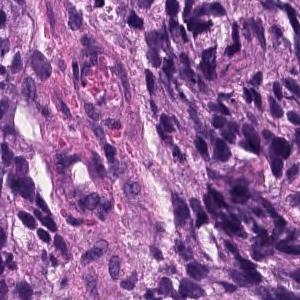
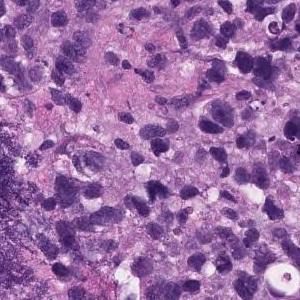
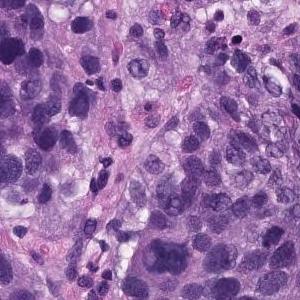
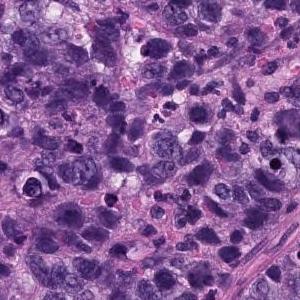
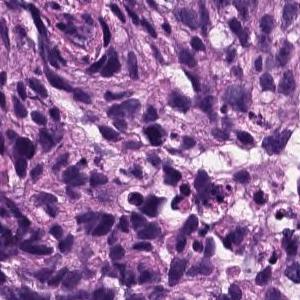
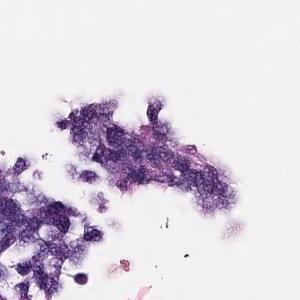
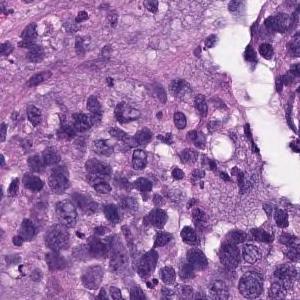
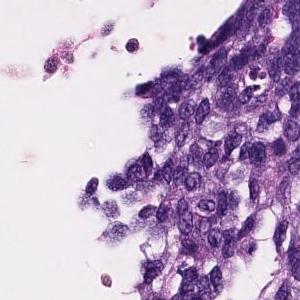
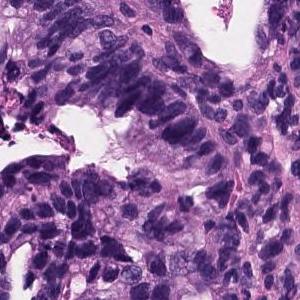
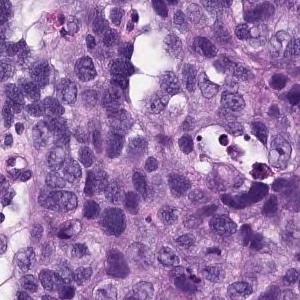
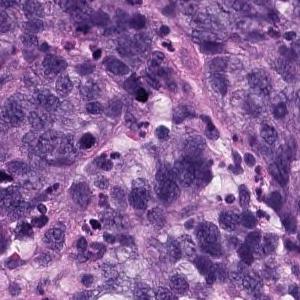
11 tiles cut from one stomach biopsy slide, 300×300 px each, H&E stain, scanned at ×20.
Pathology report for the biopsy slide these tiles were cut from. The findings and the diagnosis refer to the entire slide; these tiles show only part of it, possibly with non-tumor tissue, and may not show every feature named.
Atypical l cells with atypical nuclei under the mucosa growing in isolation and scattered. Poorly differentiated adenocarcinoma (poorly differentiated adenocarcinoma, non-solid type)
Histologic type: Poorly differentiated adenocarcinoma, non-solid type.
The non-solid type named here is a Japanese Classification of Gastric Carcinoma category.
